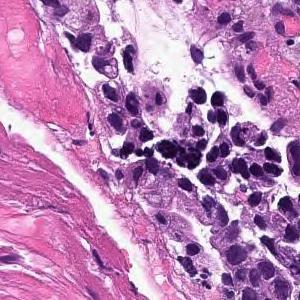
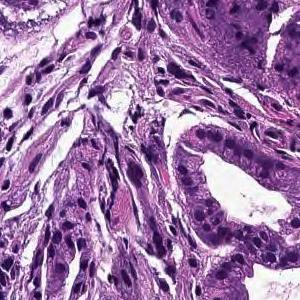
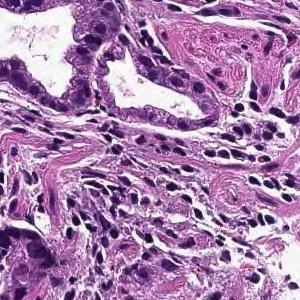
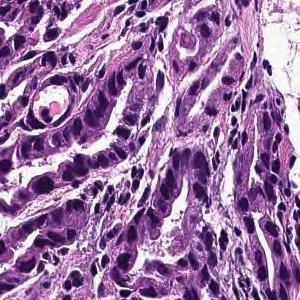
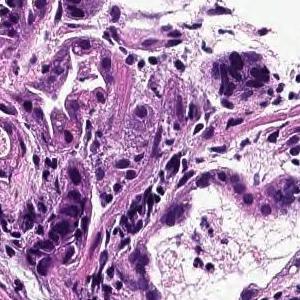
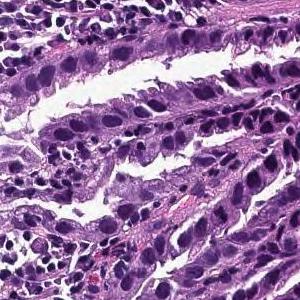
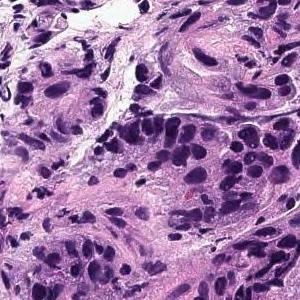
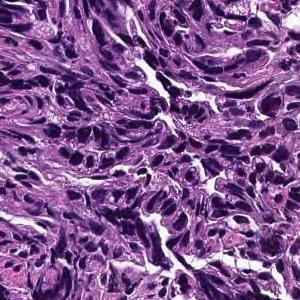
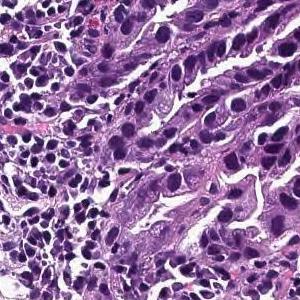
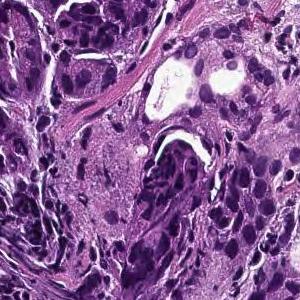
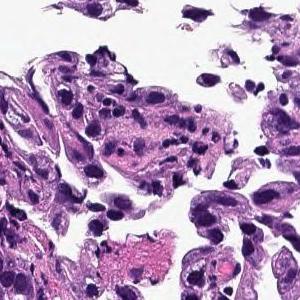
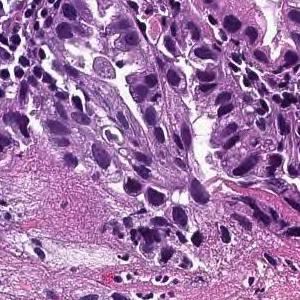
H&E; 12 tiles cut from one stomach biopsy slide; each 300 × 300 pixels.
Pathology report for the biopsy slide these tiles were cut from. The report describes the whole slide, diagnosis included: not every finding it names need appear in these tiles, which may also show non-tumor tissue.
Tumor cells are large, highly columnar, large club-shaped nuclei, and are associated with chromatin aggregation. Papillary adenocarcinoma.
